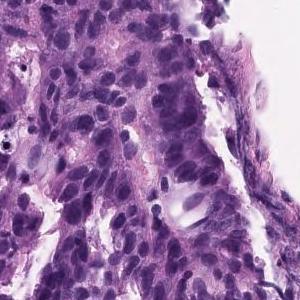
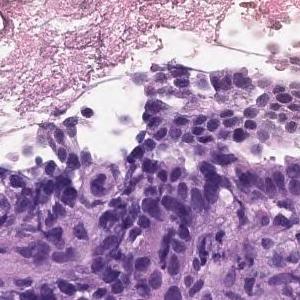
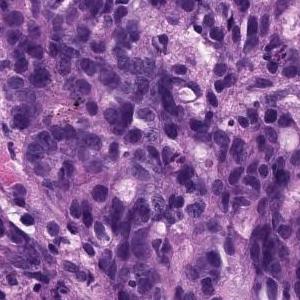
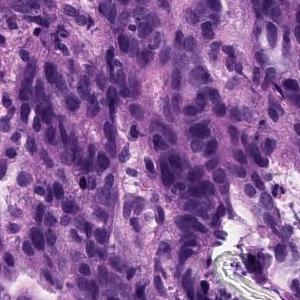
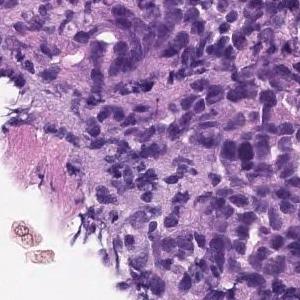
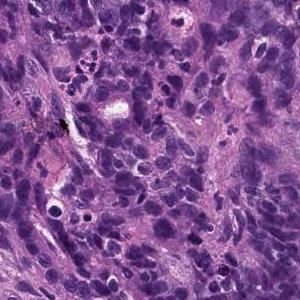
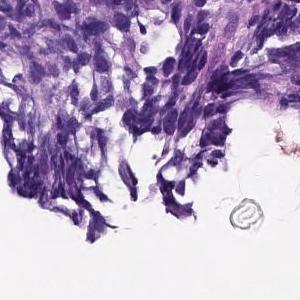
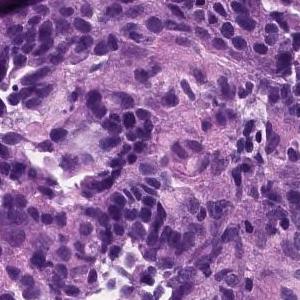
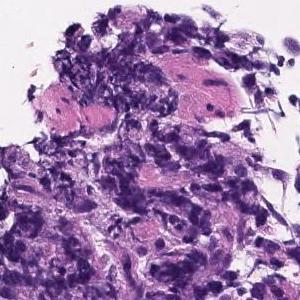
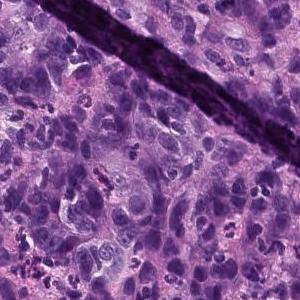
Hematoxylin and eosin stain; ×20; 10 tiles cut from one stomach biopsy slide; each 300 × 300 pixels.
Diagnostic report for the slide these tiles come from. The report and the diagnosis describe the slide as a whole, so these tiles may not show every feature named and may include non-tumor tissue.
Group 5, Adenocarcinoma. Poorly differentiated adenocarcinoma, non-solid type
The term "non-solid type" comes from the Japanese Classification of Gastric Carcinoma.
